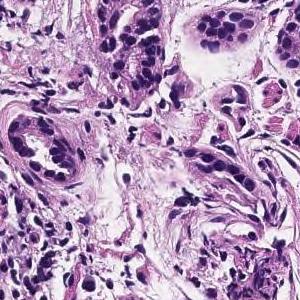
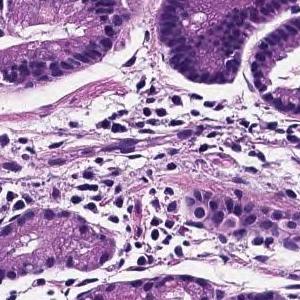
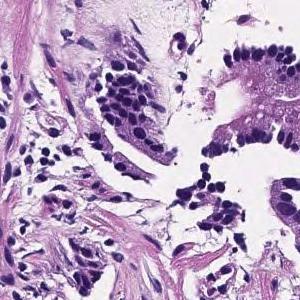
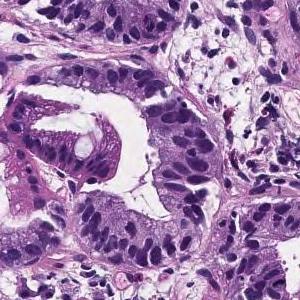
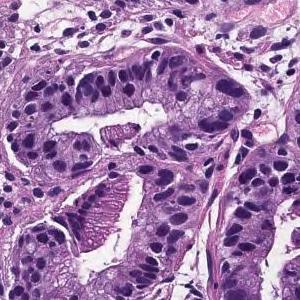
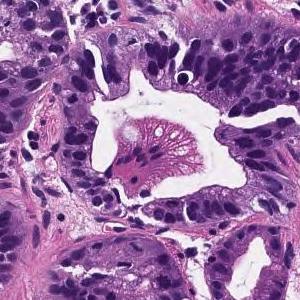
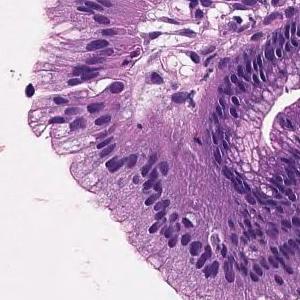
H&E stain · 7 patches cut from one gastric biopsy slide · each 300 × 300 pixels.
Diagnostic report for the slide these tiles come from. Both the report and the diagnosis are for the whole slide: these tiles need not show every feature named, and some of the tissue shown may not be tumor.
Tumor cells are large, highly columnar, large club-shaped nuclei, and are associated with chromatin aggregation. Papillary adenocarcinoma.
